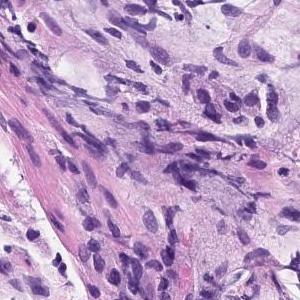
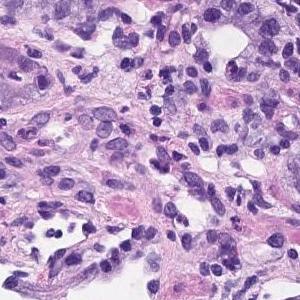
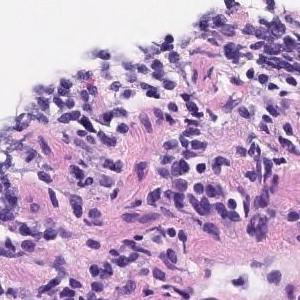
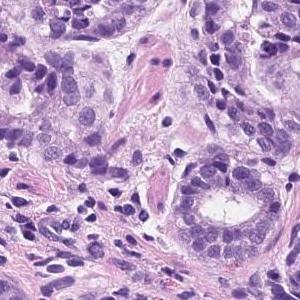
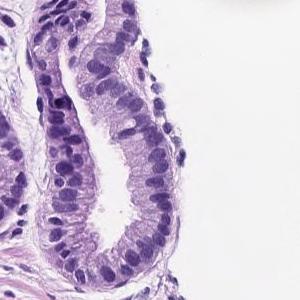
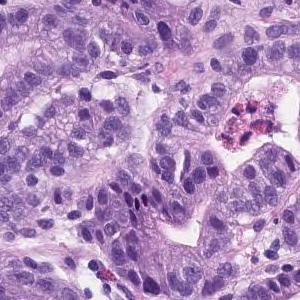
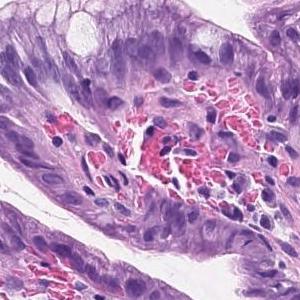
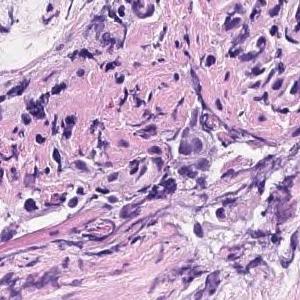
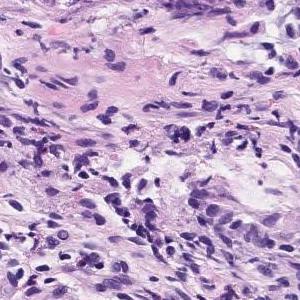
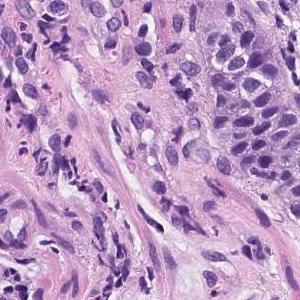
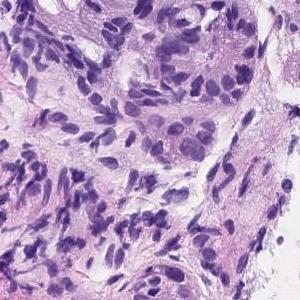
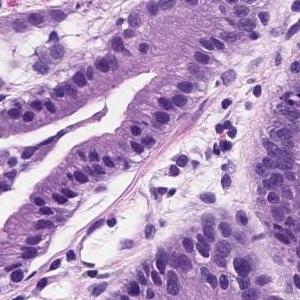
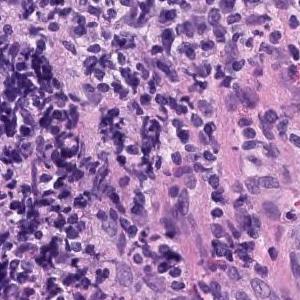
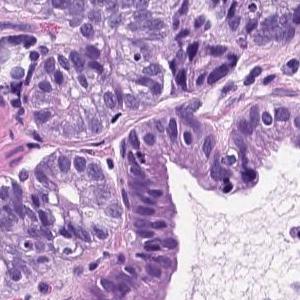
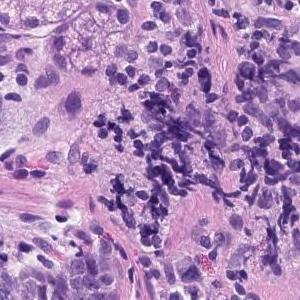
20× magnification · hematoxylin and eosin stain · 15 image tiles from a single gastric biopsy slide · 300×300 px each.
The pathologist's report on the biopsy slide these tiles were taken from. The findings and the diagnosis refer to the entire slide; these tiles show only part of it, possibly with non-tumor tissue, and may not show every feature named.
Tumor tissue consisting of medium-sized and irregular ducts is observed infiltrating in the superficial epithelium. Tumor cells are highly columnar, with nuclei aligned basolaterally and polarized. Well differentiated tubular adenocarcinoma.
